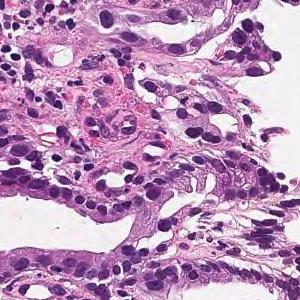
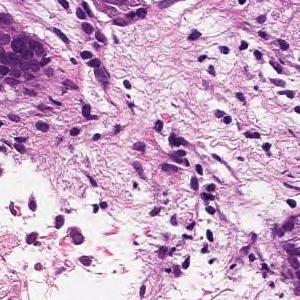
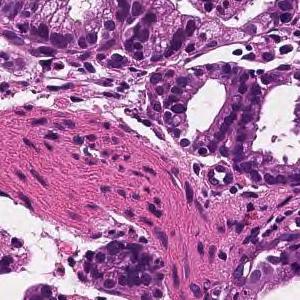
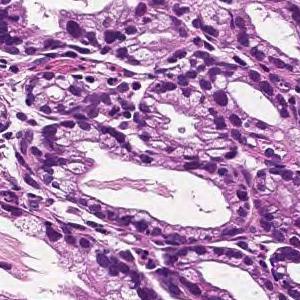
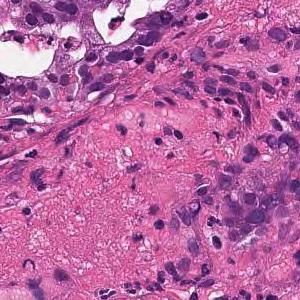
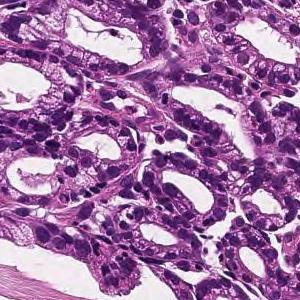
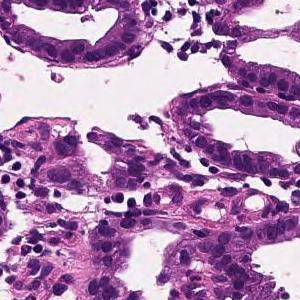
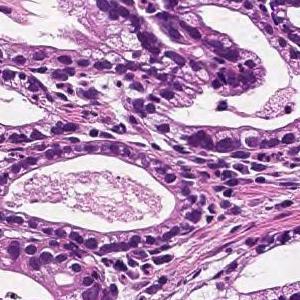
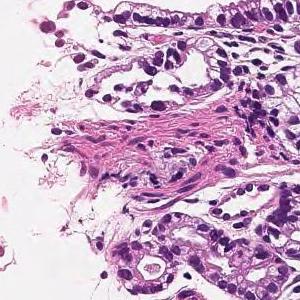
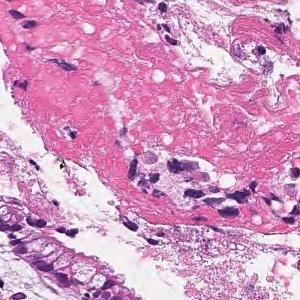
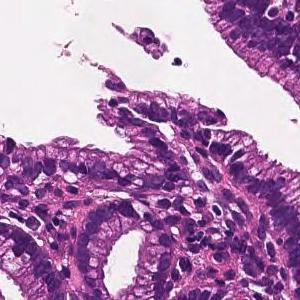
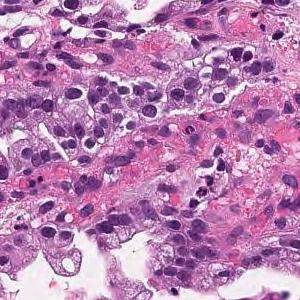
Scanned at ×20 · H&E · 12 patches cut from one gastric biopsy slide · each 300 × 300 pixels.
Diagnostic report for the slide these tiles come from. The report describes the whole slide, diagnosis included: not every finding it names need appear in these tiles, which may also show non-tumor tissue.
On the superficial epithelium, tumor tissue that infiltrates by forming medium-sized papillary or small irregular ducts is observed. Papillary adenocarcinoma
